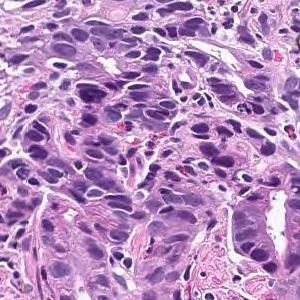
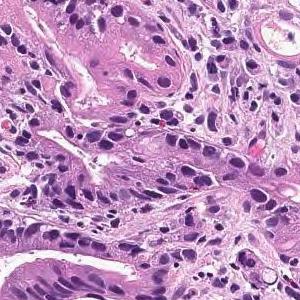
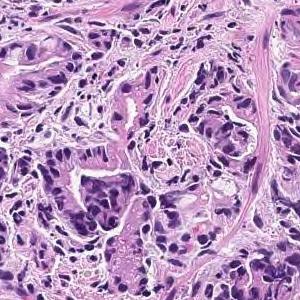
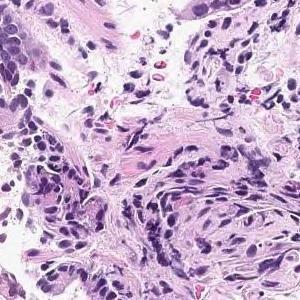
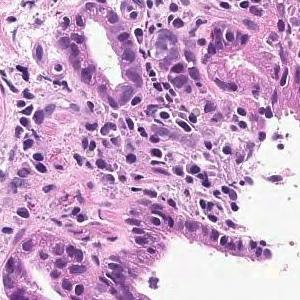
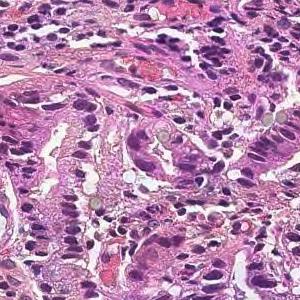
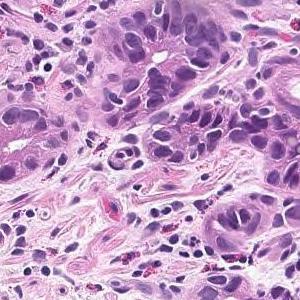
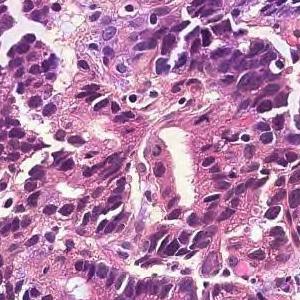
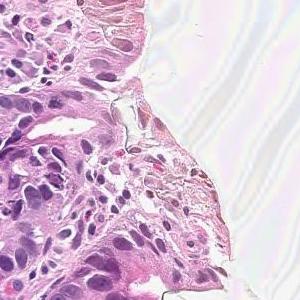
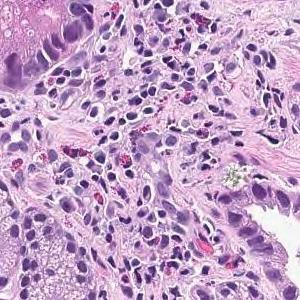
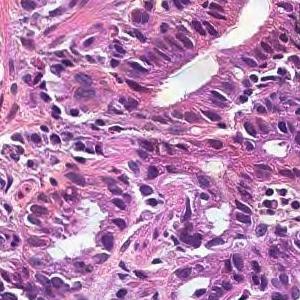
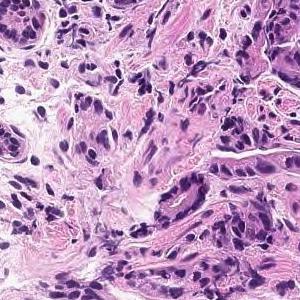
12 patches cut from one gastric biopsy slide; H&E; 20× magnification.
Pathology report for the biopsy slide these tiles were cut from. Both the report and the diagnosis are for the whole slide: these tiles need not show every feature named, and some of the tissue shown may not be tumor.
In the superficial epithelium, tumor tissue that invades by forming medium-sized to small, irregular ducts is observed. moderately differentiated tubular adenocarcinoma.
